Hematoxylin and eosin stain, scanned at ×20, 6 tiles cut from one stomach biopsy slide.
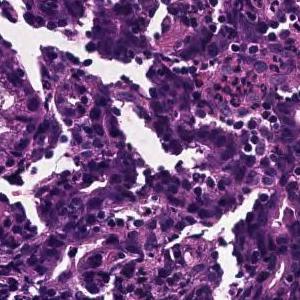
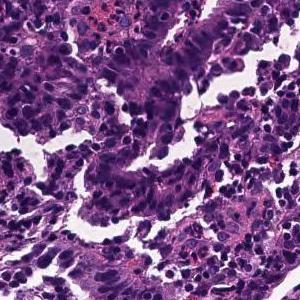
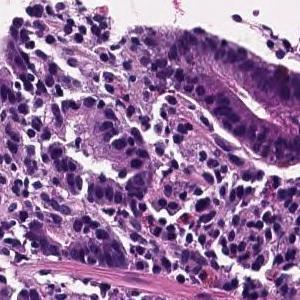
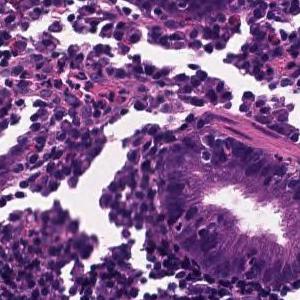
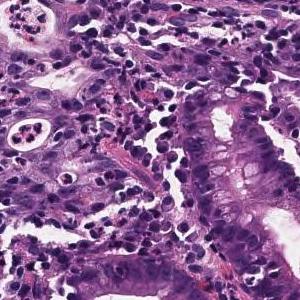
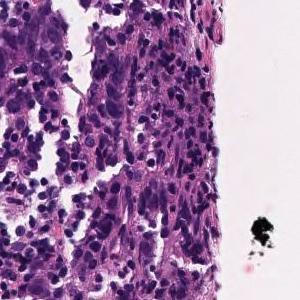
Pathology report for the slide these tiles were cut from. What the report and the diagnosis say applies to the whole slide; these tiles may miss some of the features named and may include tissue that is not tumor.
Tumor tissue consisting of medium-sized, cord-like or irregular glandular infiltration is observed in the superficial epithelium. Poorly differentiated adenocarcinoma, non-solid type or moderately differentiated tubular adenocarcinoma
Classified as moderately to poorly differentiated adenocarcinoma.
The non-solid type named here is a Japanese Classification of Gastric Carcinoma category.
